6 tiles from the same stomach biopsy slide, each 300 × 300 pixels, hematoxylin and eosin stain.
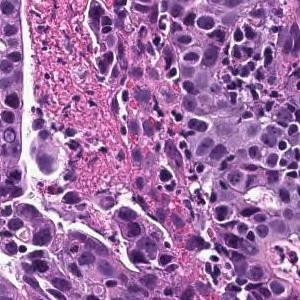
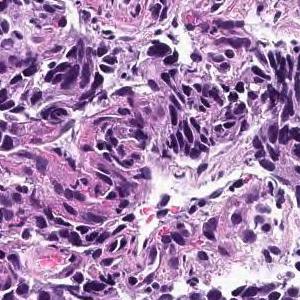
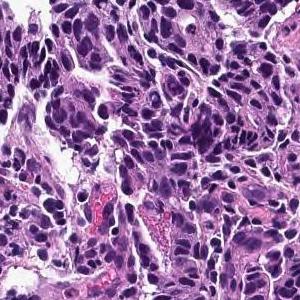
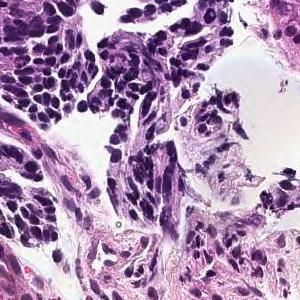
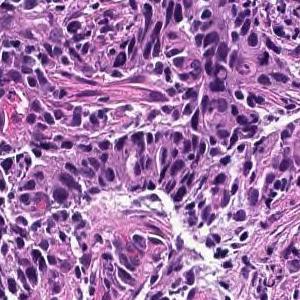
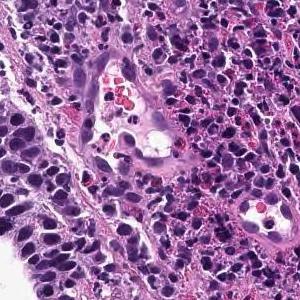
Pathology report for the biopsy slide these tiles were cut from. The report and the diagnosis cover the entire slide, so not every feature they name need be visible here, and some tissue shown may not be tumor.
In the superficial epithelium, tumor tissue that invades by forming medium-sized to small, irregular ducts is observed. moderately differentiated tubular adenocarcinoma.
